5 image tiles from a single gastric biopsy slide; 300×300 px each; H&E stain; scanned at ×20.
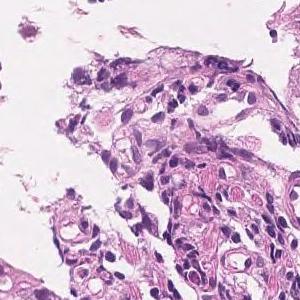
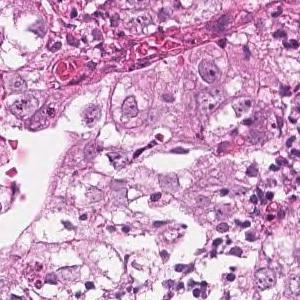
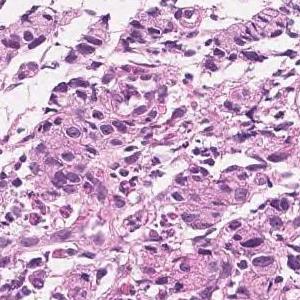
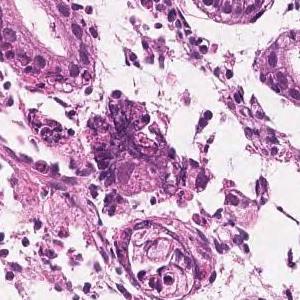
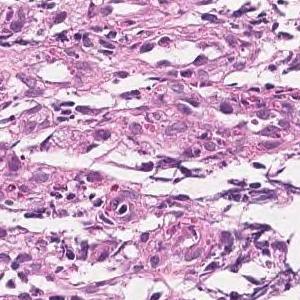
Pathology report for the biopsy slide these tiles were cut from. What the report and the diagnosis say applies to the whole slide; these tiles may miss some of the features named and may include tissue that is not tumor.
In the superficial epithelium, medium to small, irregular glandular ducts are formed, and in some parts, the glandular ducts are fused, and in other parts, small cord-like infiltrating tumor tissue is observed. Moderately to poorly differentiated adenocarcinoma.
